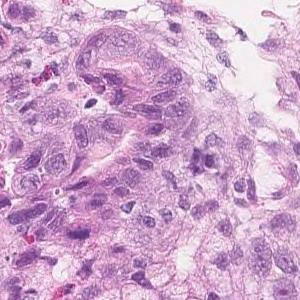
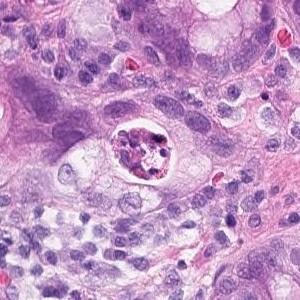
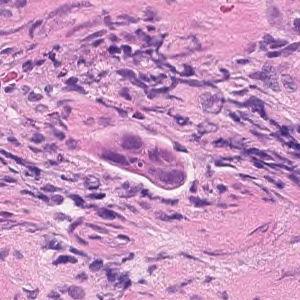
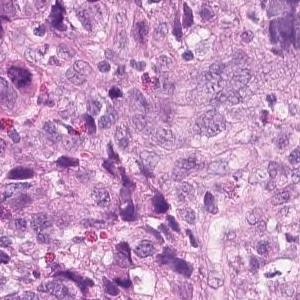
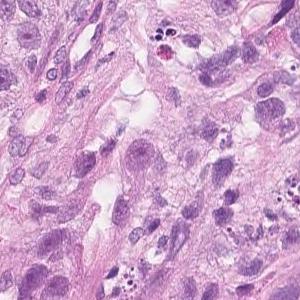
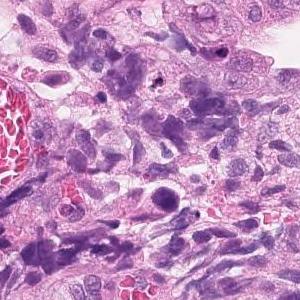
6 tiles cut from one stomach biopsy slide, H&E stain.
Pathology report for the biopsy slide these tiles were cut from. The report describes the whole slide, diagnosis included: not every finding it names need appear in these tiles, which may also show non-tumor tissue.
Tumor tissue showing dense, fused or diffuse, and infiltrative growth of small atypical ducts is observed. moderately differentiated tubular adenocarcinoma
